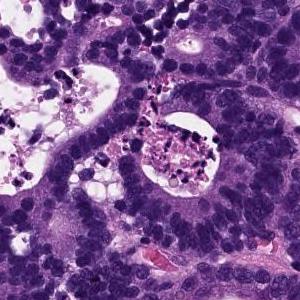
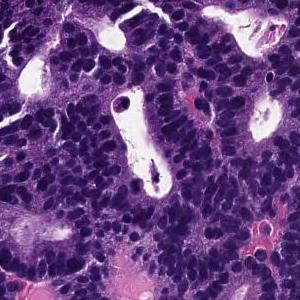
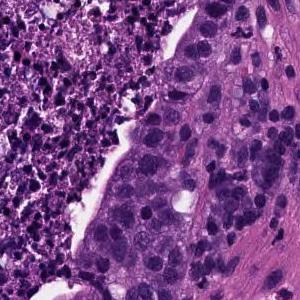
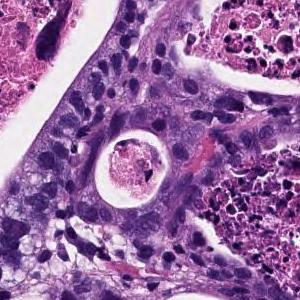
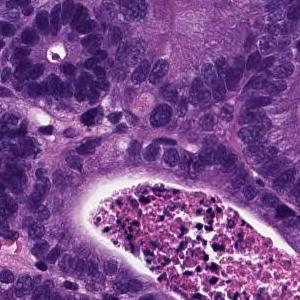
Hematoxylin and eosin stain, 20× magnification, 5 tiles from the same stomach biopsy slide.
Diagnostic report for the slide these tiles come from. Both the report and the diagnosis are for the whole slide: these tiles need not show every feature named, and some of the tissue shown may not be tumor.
From the superficial epithelium to the muscularis mucosae, tumor tissue consisting of medium-sized and irregular glandular ducts infiltrating is observed. Well differentiated tubular adenocarcinoma
